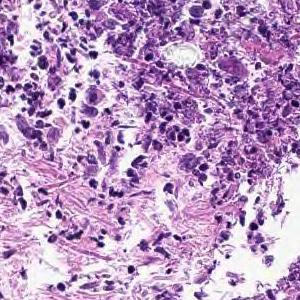
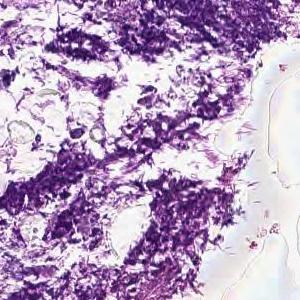
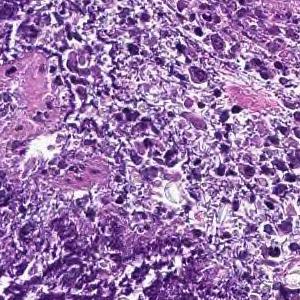
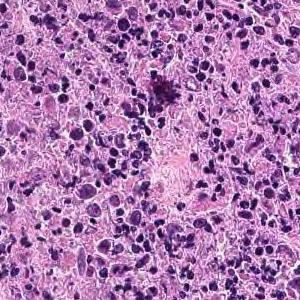
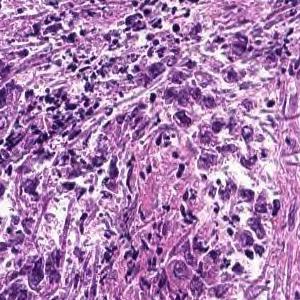
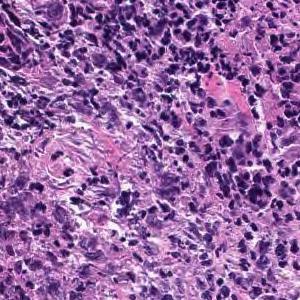
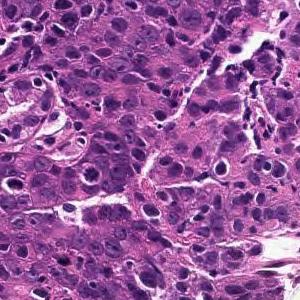
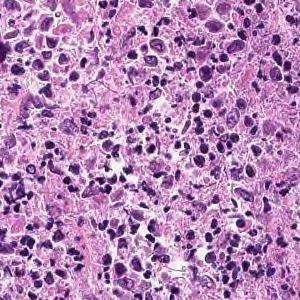
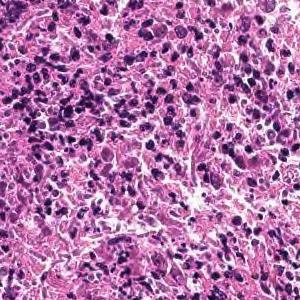
9 tiles cut from one stomach biopsy slide; hematoxylin and eosin stain; 20× magnification.
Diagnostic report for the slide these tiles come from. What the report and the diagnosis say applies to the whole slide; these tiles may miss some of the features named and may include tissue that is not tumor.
Cancers with polygonal nuclei do not show glandular formation and are densely, in part, cord-like and proliferate. Poorly differentiated adenocarcinoma
Classified as poorly differentiated adenocarcinoma, non-solid type.
The non-solid type named here is a Japanese Classification of Gastric Carcinoma category.
